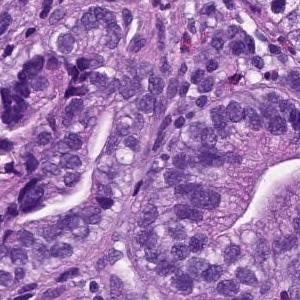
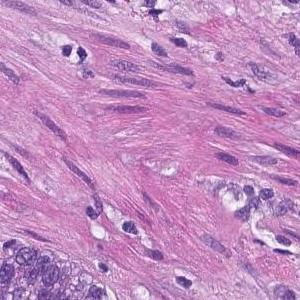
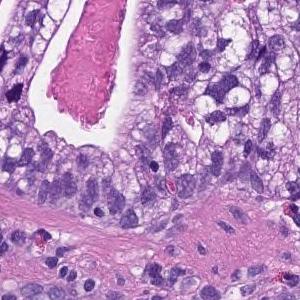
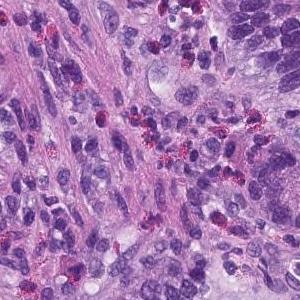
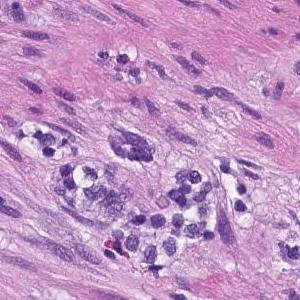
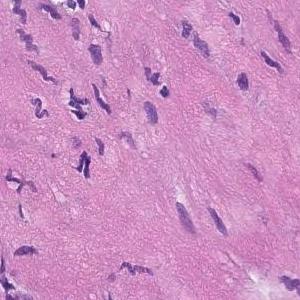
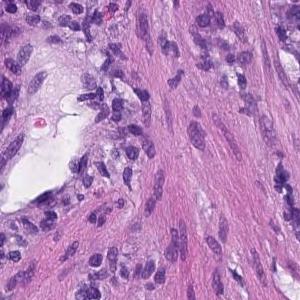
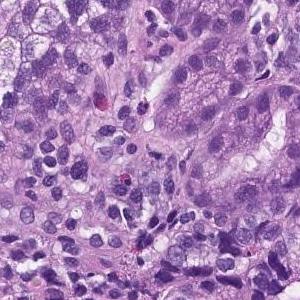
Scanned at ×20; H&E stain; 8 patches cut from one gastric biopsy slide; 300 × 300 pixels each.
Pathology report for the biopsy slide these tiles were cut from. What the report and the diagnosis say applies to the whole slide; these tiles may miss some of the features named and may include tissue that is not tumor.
From the superficial epithelium to the muscularis mucosae, tumor tissue consisting of medium-sized and irregular glandular ducts infiltrating is observed. Well differentiated tubular adenocarcinoma
